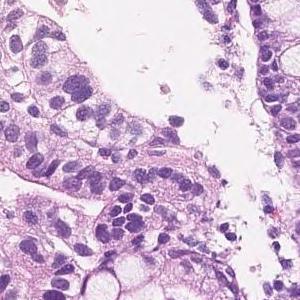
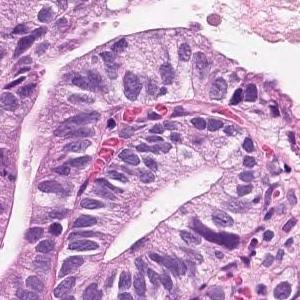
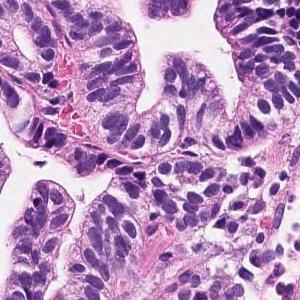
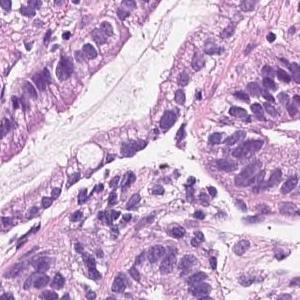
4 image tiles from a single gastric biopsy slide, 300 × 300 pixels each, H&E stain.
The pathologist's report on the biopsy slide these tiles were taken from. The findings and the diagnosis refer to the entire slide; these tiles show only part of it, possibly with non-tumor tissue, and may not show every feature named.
On the superficial epithelium, there is a tumor tissue consisting of medium to small, irregular tubules that are partially fused and proliferated. Well to moderately differentiated tubular adenocarcinoma
